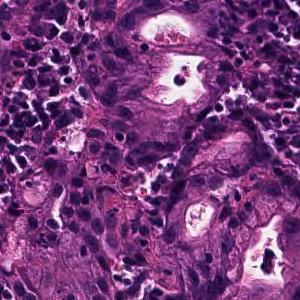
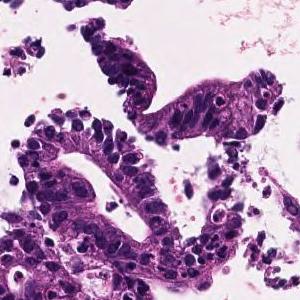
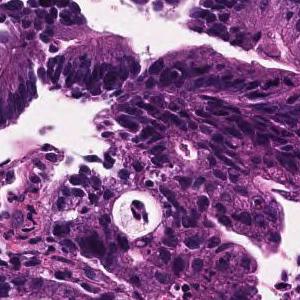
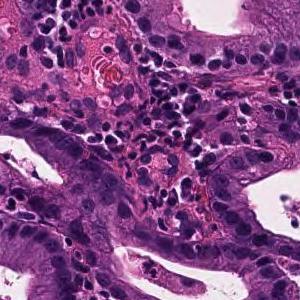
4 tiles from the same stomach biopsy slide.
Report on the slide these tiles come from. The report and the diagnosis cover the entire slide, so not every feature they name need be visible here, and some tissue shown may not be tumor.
Tumor cells are large, highly columnar, large club-shaped nuclei, and are associated with chromatin aggregation. Papillary adenocarcinoma.
